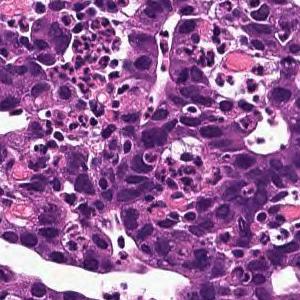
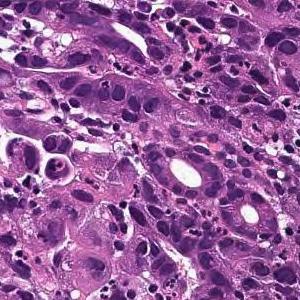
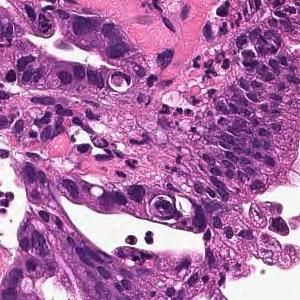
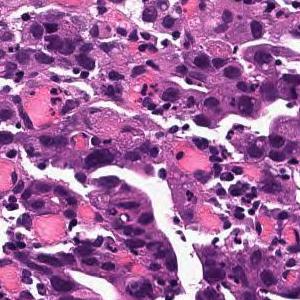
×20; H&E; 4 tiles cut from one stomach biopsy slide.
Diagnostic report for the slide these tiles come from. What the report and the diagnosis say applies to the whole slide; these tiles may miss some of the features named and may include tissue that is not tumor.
On the superficial epithelium, a tumor tissue consisting of a large, irregular glandular duct partially fused and infiltrating with a small alveolar shape is observed. Well or moderately differentiated tubular adenocarcinoma (well differentiated tubular adenocarcinoma, moderately differentiated tubular adenocarcinoma)
Histological subtype: Well to moderately differentiated tubular adenocarcinoma.
